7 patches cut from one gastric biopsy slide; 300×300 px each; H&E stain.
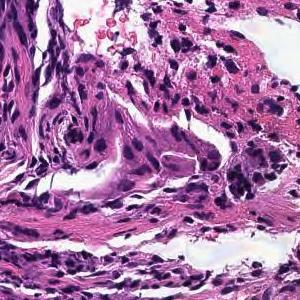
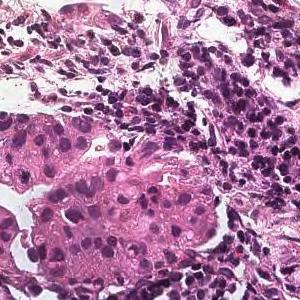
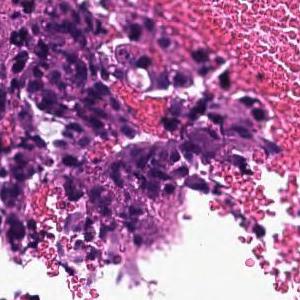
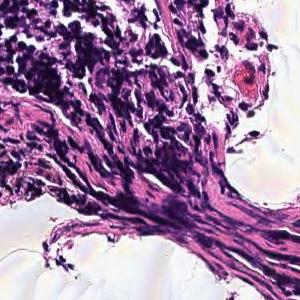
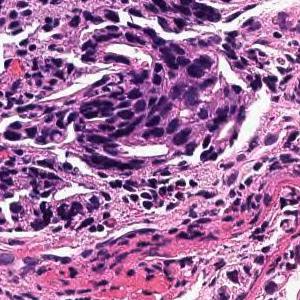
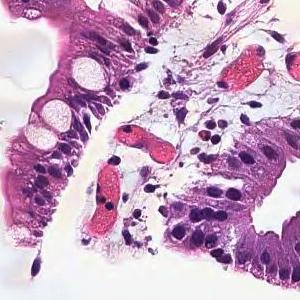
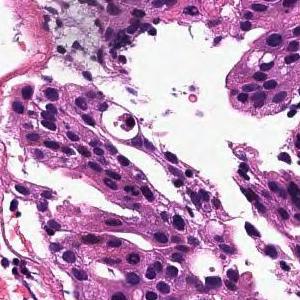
Report on the slide these tiles come from. The report and the diagnosis describe the slide as a whole, so these tiles may not show every feature named and may include non-tumor tissue.
In the superficial epithelium, tumor tissue that invades by forming medium-sized to small, irregular ducts is observed. moderately differentiated tubular adenocarcinoma.
